10 patches cut from one gastric biopsy slide, hematoxylin and eosin stain, 20× magnification.
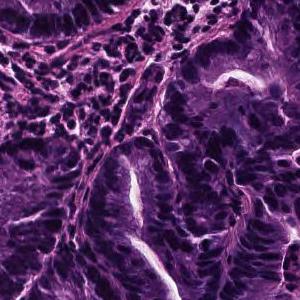
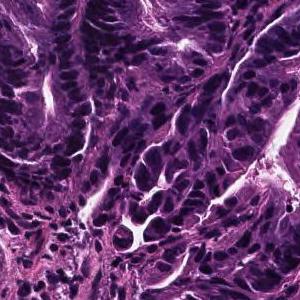
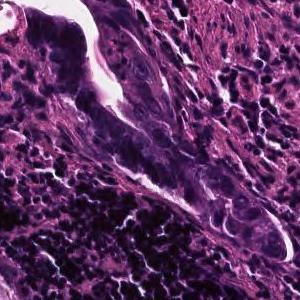
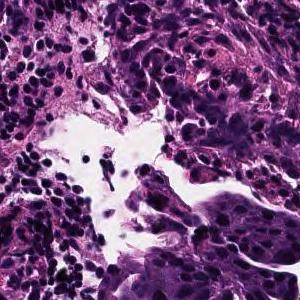
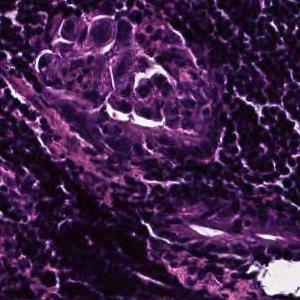
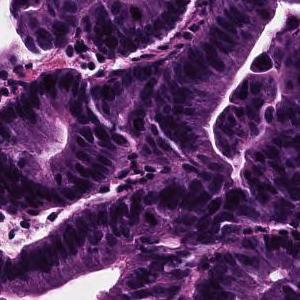
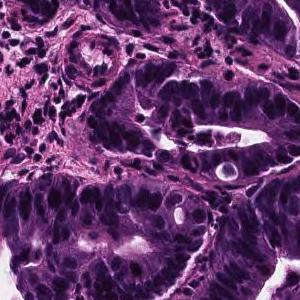
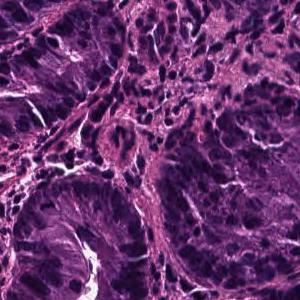
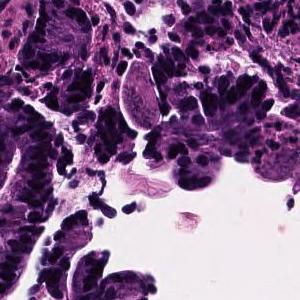
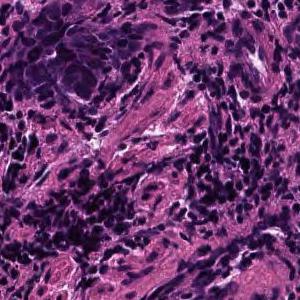
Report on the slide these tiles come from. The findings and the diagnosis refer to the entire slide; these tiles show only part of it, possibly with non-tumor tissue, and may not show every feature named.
On the superficial epithelium, tumor tissue consisting of large, irregular glandular ducts partially fused and infiltrated is observed. Well to moderately differentiated tubular adenocarcinoma (well differentiated tubular adenocarcinoma, moderately differentiated tubular adenocarcinoma)
Classified as well to moderately differentiated tubular adenocarcinoma.
